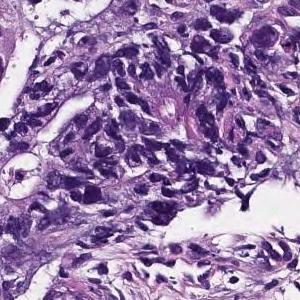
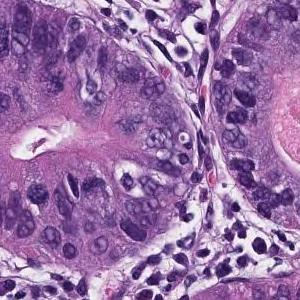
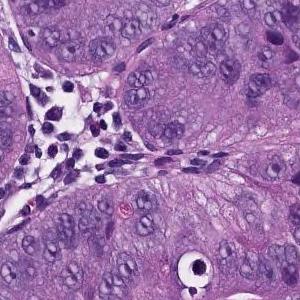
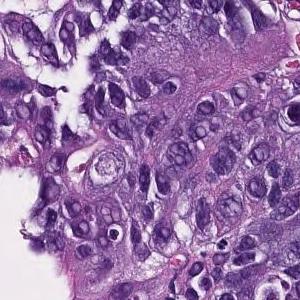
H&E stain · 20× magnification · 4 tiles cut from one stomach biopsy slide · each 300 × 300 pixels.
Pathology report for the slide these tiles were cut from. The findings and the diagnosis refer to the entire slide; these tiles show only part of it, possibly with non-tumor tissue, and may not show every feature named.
In the superficial epithelium, tumor tissue that invades by forming medium-sized to small, irregular ducts is observed. moderately differentiated tubular adenocarcinoma.
